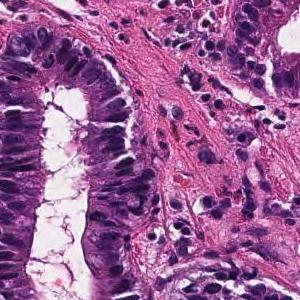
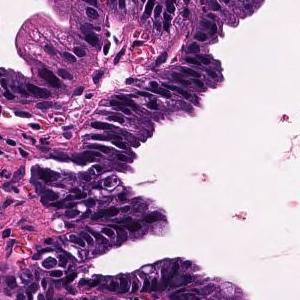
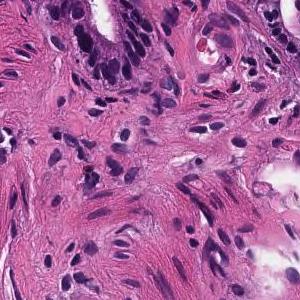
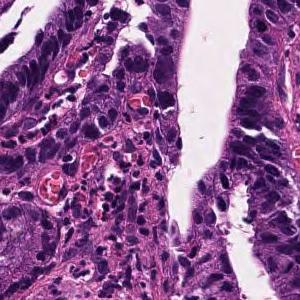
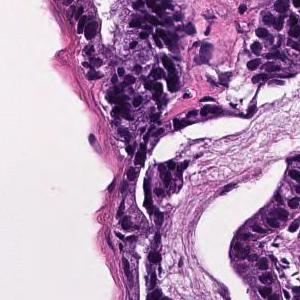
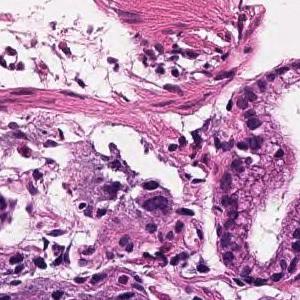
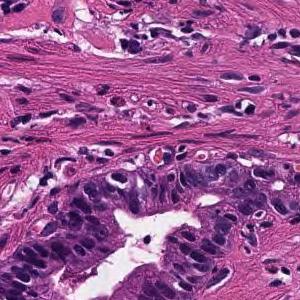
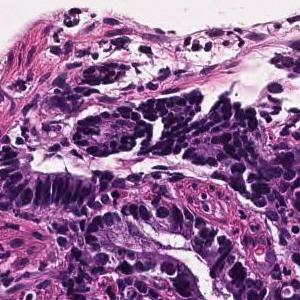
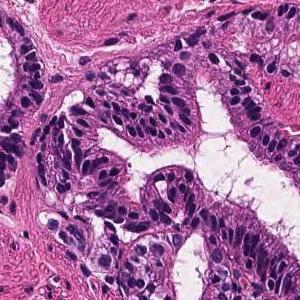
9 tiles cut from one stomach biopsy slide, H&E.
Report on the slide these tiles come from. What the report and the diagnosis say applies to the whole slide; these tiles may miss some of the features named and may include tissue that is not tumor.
Tumor cells are large, highly columnar, large club-shaped nuclei, and are associated with chromatin aggregation. Papillary adenocarcinoma.
